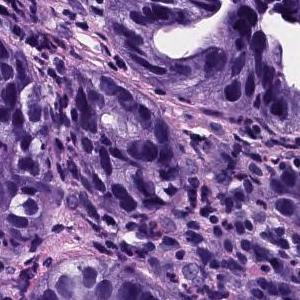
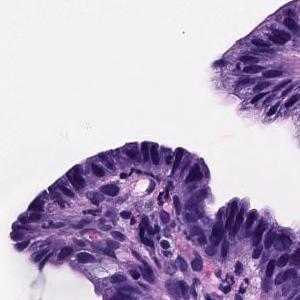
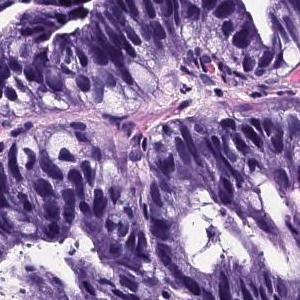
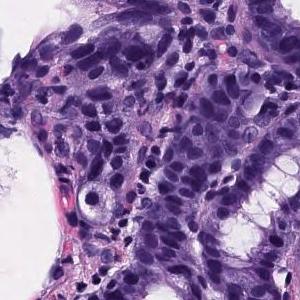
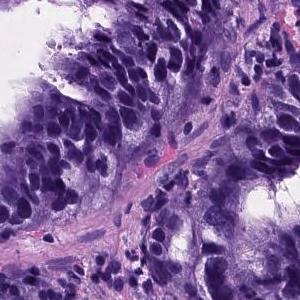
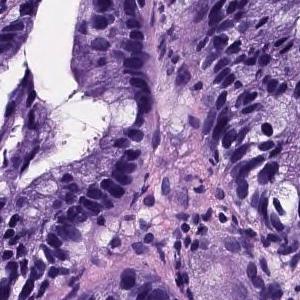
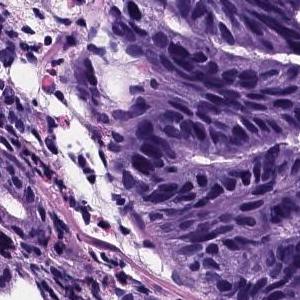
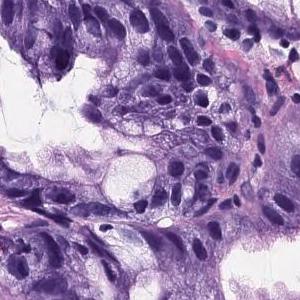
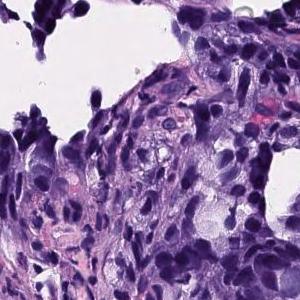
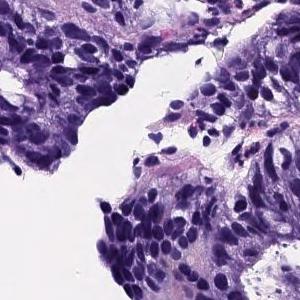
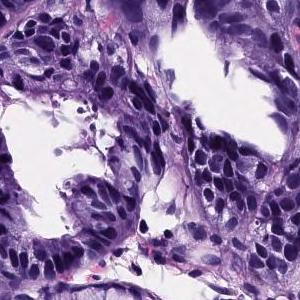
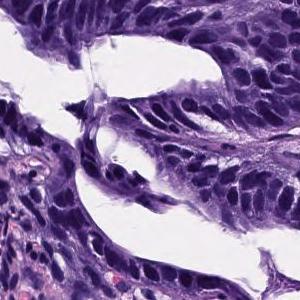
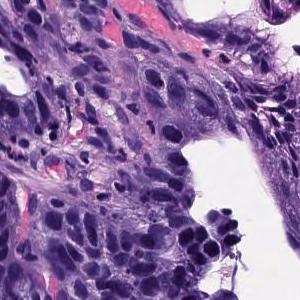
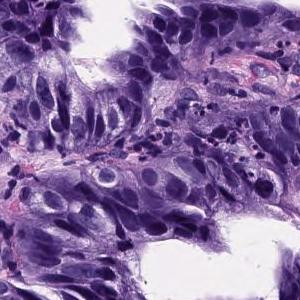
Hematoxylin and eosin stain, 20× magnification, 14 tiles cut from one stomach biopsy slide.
Pathology report for the biopsy slide these tiles were cut from. The report and the diagnosis cover the entire slide, so not every feature they name need be visible here, and some tissue shown may not be tumor.
Large atypical cells which form medium to large ducts are proliferating. Well differentiated adenocarcinoma (well differentiated tubular adenocarcinoma)
Tumor subtype: well differentiated tubular adenocarcinoma.
